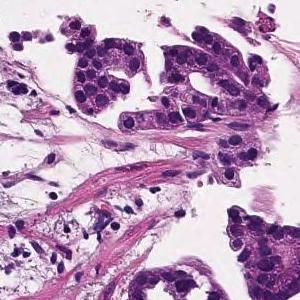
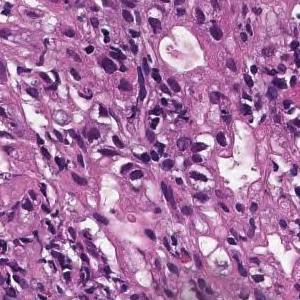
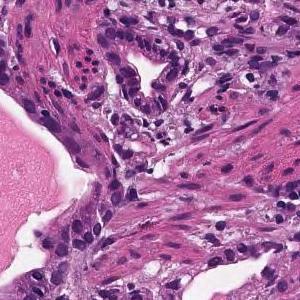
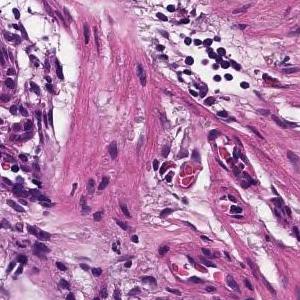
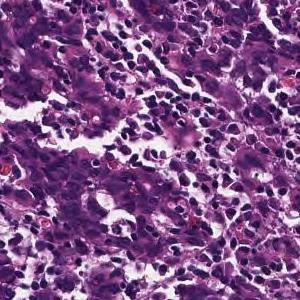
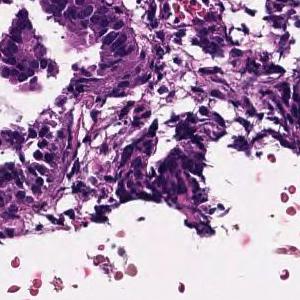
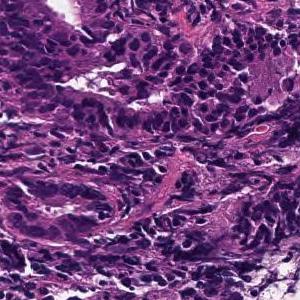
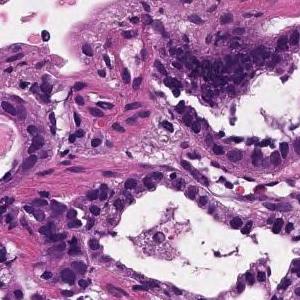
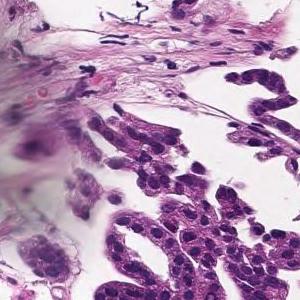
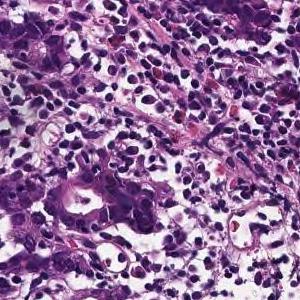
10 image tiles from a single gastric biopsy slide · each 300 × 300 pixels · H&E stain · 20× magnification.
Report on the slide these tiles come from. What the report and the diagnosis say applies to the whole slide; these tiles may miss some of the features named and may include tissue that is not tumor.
Tumor tissue consisting of medium-sized, cord-like or irregular glandular infiltration is observed in the superficial epithelium. Poorly differentiated adenocarcinoma, non-solid type or moderately differentiated tubular adenocarcinoma
Tumor subtype: moderately to poorly differentiated adenocarcinoma.
The term "non-solid type" comes from the Japanese Classification of Gastric Carcinoma.
